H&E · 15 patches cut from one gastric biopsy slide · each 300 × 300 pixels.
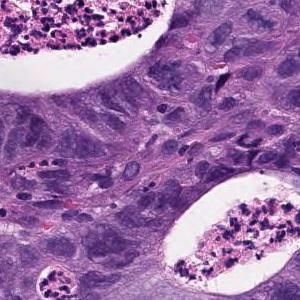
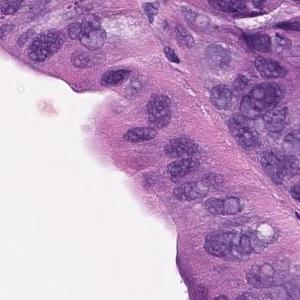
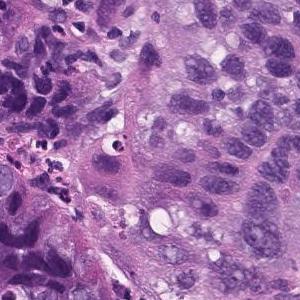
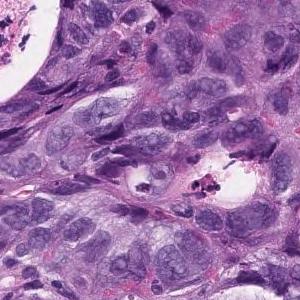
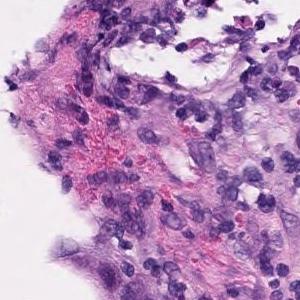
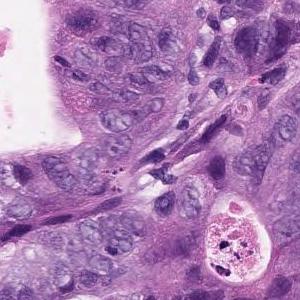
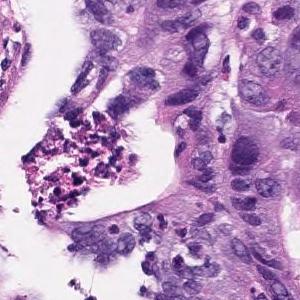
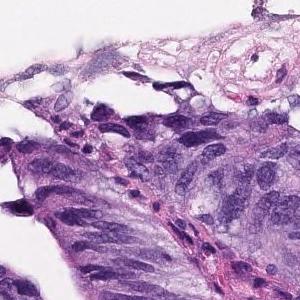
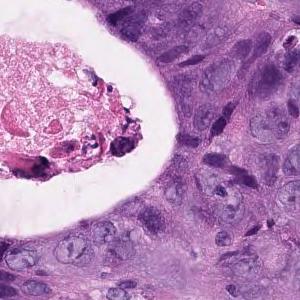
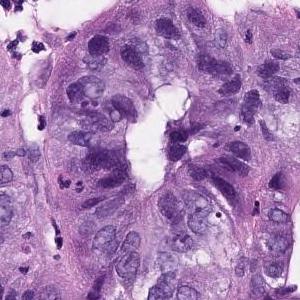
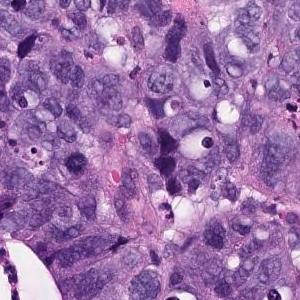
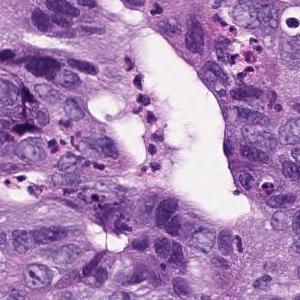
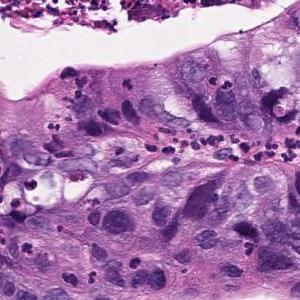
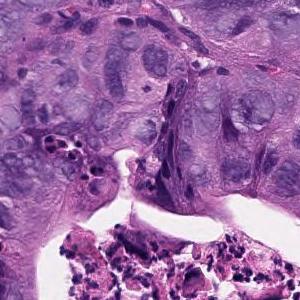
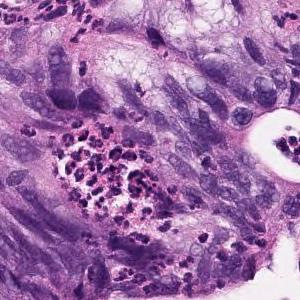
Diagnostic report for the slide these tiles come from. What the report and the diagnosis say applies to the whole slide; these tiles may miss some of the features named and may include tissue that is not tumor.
In the superficial epithelium, tumor tissue that invades by forming medium-sized to small, irregular ducts is observed. Moderately differentiated adenocarcinoma.
Subtype: Moderately differentiated tubular adenocarcinoma.
